H&E, 16 image tiles from a single gastric biopsy slide, 300 × 300 pixels each.
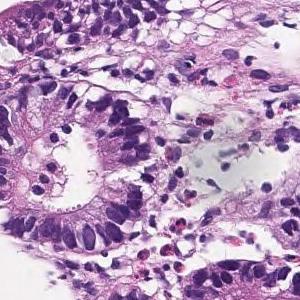
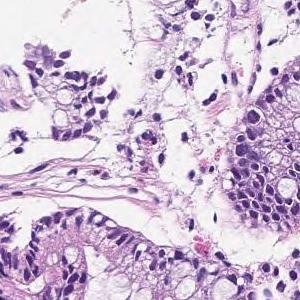
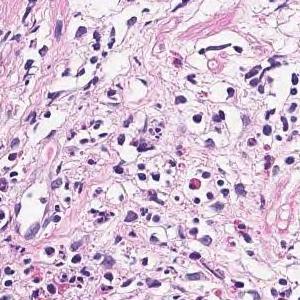
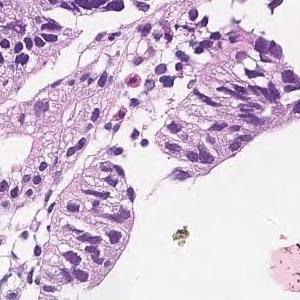
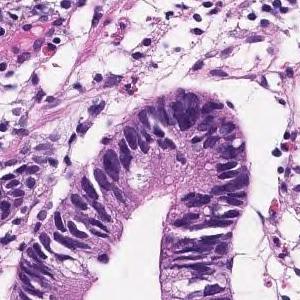
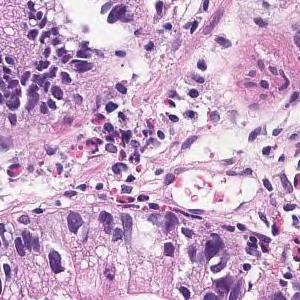
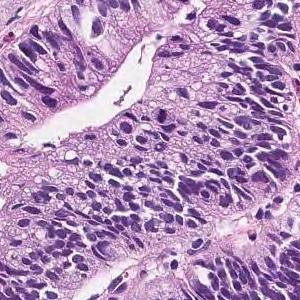
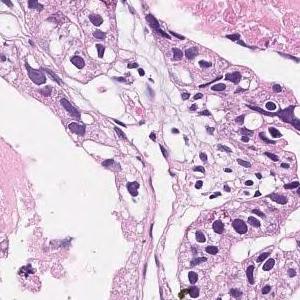
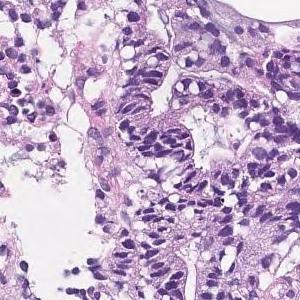
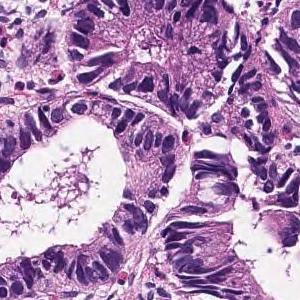
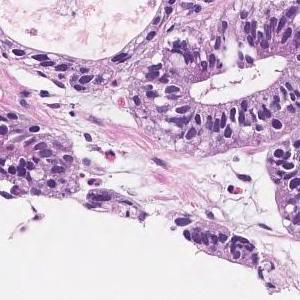
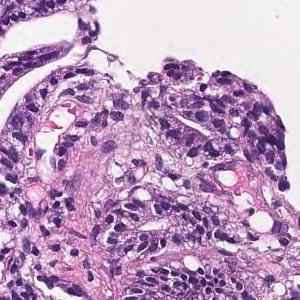
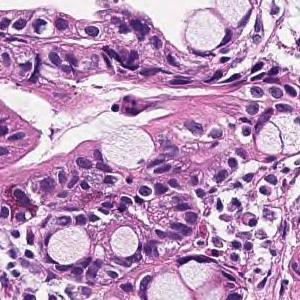
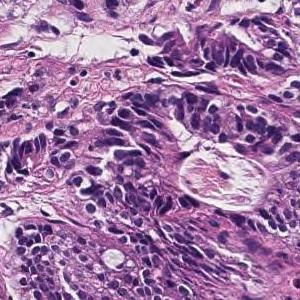
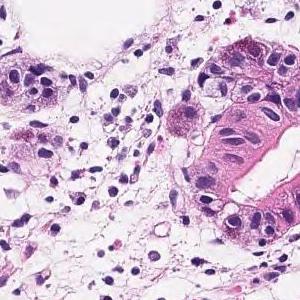
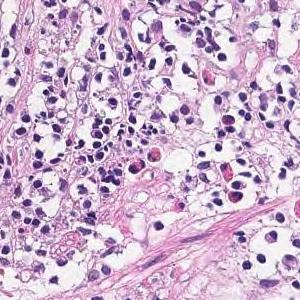
Diagnostic report for the slide these tiles come from. The report and the diagnosis cover the entire slide, so not every feature they name need be visible here, and some tissue shown may not be tumor.
In the superficial epithelium, tumor tissue that invades by forming medium-sized to small, irregular ducts is observed. Moderately differentiated adenocarcinoma.
Classified as moderately differentiated tubular adenocarcinoma.
